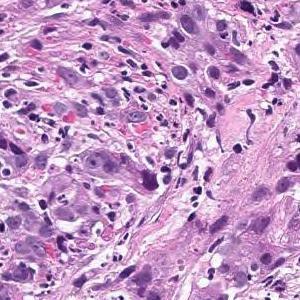
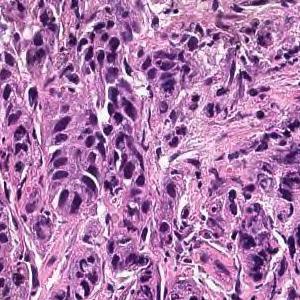
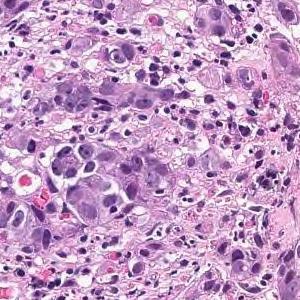
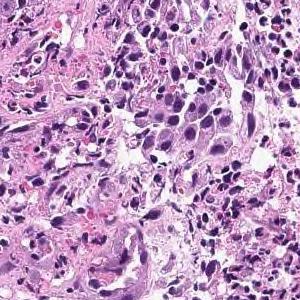
4 patches cut from one gastric biopsy slide, 20× magnification.
The pathologist's report on the biopsy slide these tiles were taken from. The report and the diagnosis describe the slide as a whole, so these tiles may not show every feature named and may include non-tumor tissue.
Tumor tissue consisting of cord-like or small, irregular glandular ducts fused and infiltrated is observed in the superficial epithelium. Poorly differentiated adenocarcinoma, non-solid type
"Non-solid type" is a category of the Japanese Classification of Gastric Carcinoma.
